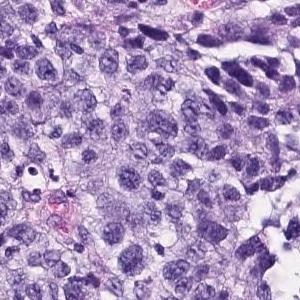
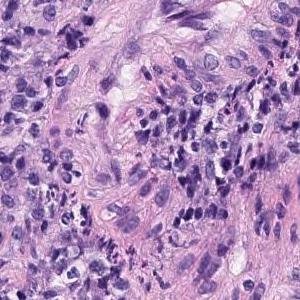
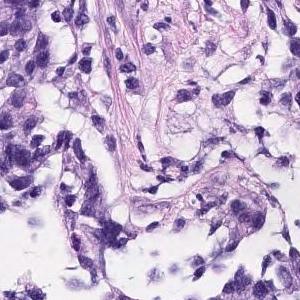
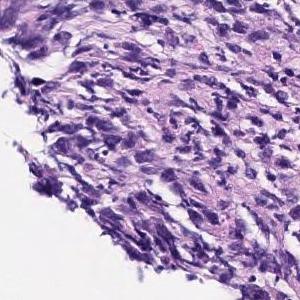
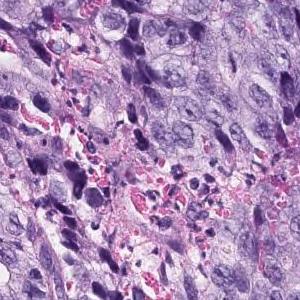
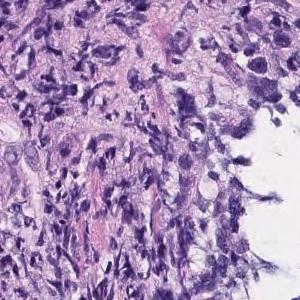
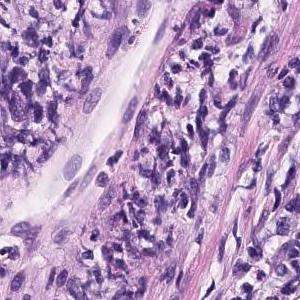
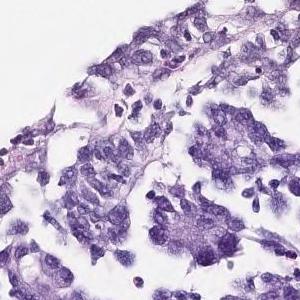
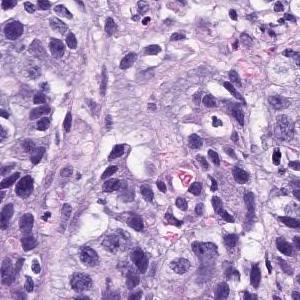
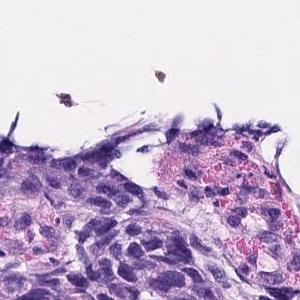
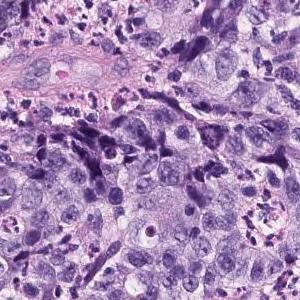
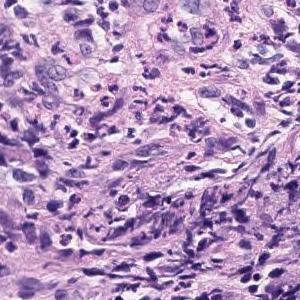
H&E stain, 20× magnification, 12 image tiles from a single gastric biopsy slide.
Pathology report for the slide these tiles were cut from. Both the report and the diagnosis are for the whole slide: these tiles need not show every feature named, and some of the tissue shown may not be tumor.
The superficial epithelium shows a large sheet-like shape, and some tumor tissue infiltrates with small irregular ducts. Poorly differentiated adenocarcinoma, solid-type
Tumor subtype: poorly differentiated adenocarcinoma, solid type, a category of the Japanese Classification of Gastric Carcinoma; in the WHO 2019 classification it is tubular adenocarcinoma, poorly differentiated.
